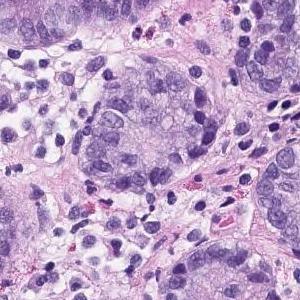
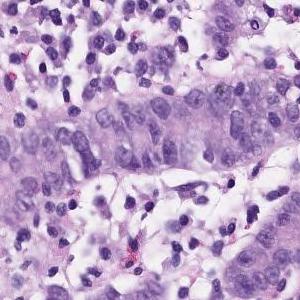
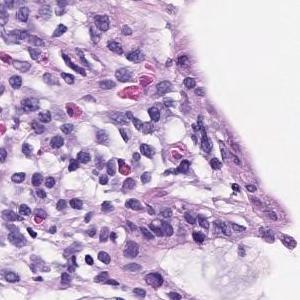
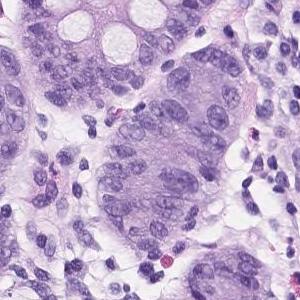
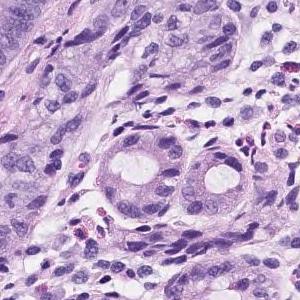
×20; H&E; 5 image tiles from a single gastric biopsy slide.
Diagnostic report for the slide these tiles come from. The report and the diagnosis describe the slide as a whole, so these tiles may not show every feature named and may include non-tumor tissue.
Atypical l cells with atypical nuclei forming diffuse or small irregular atypical ducts and growing. Moderately to poorly differentiated adenocarcinoma (poorly differentiated adenocarcinoma, solid type moderately differentiated tubular adenocarcinoma)
Histologic type: Moderately to poorly differentiated adenocarcinoma.
The term "solid type" comes from the Japanese Classification of Gastric Carcinoma; the WHO 2019 equivalent is tubular adenocarcinoma, poorly differentiated.
